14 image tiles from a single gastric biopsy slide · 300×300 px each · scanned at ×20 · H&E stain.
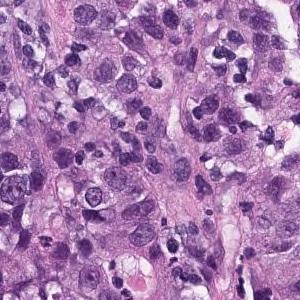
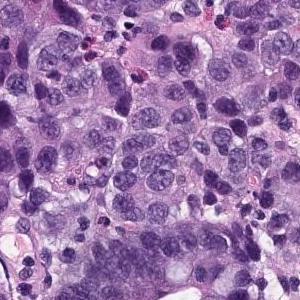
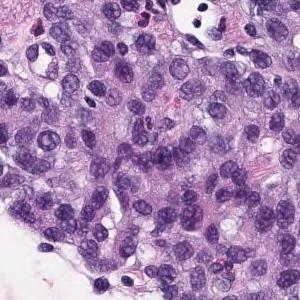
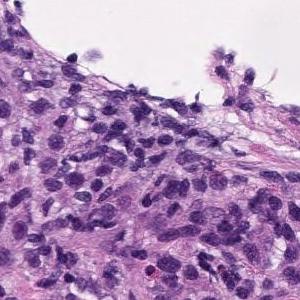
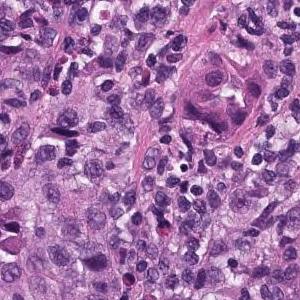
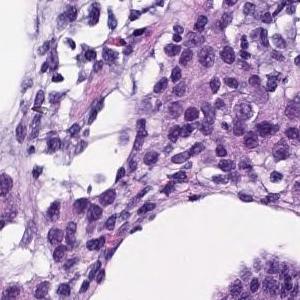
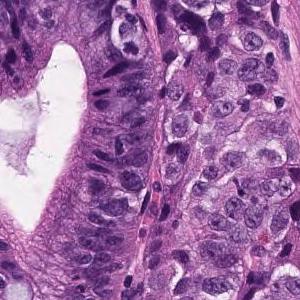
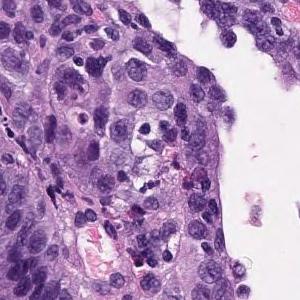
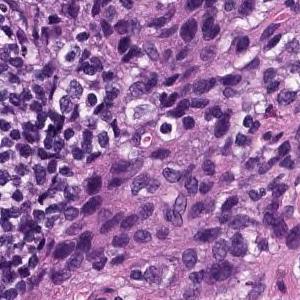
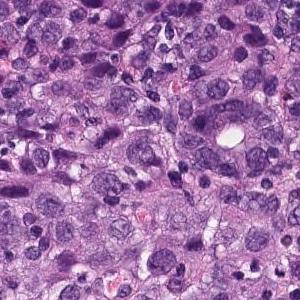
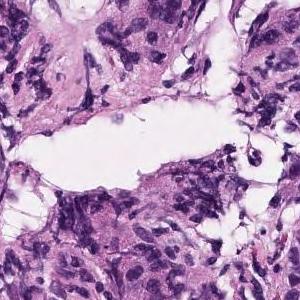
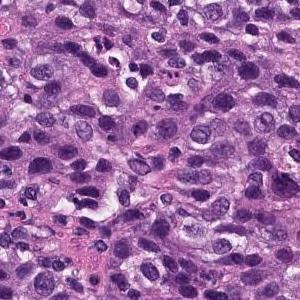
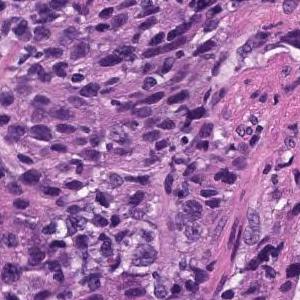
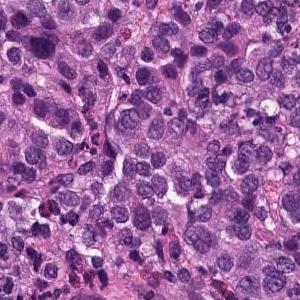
The pathologist's report on the biopsy slide these tiles were taken from. The report and the diagnosis cover the entire slide, so not every feature they name need be visible here, and some tissue shown may not be tumor.
In the superficial epithelium, tumor tissue that invades by forming medium-sized to small, irregular ducts is observed. Moderately differentiated adenocarcinoma.
Tumor subtype: moderately differentiated tubular adenocarcinoma.
